15 patches cut from one gastric biopsy slide · 300 × 300 pixels each · ×20.
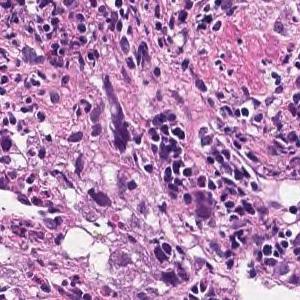
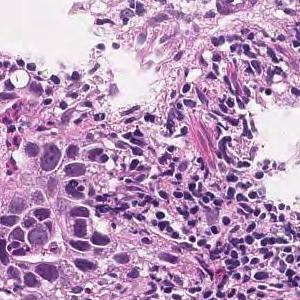
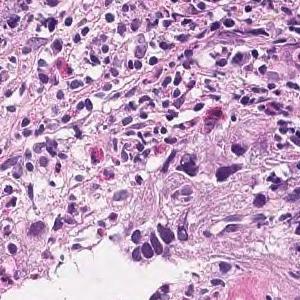
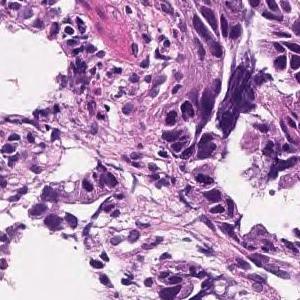
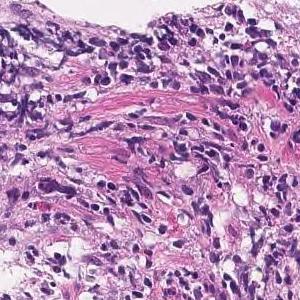
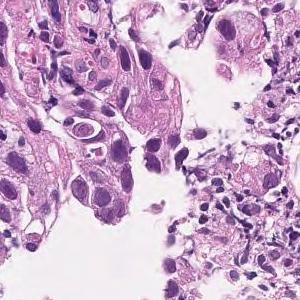
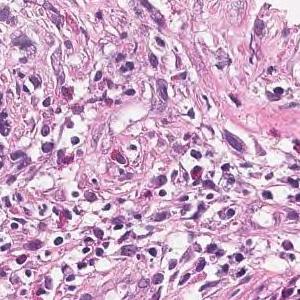
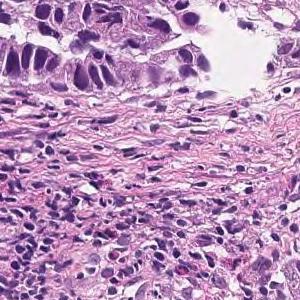
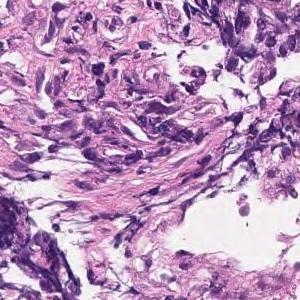
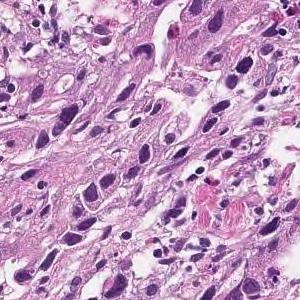
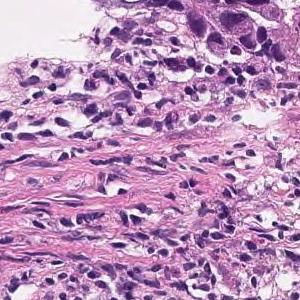
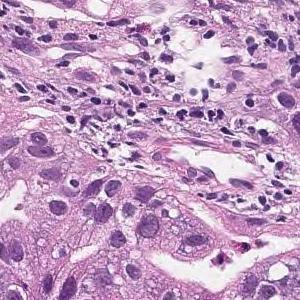
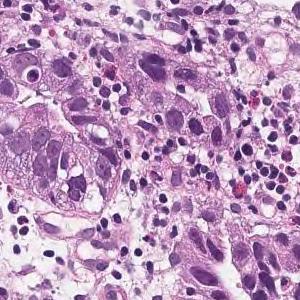
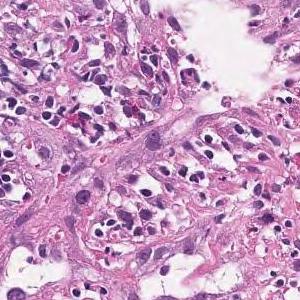
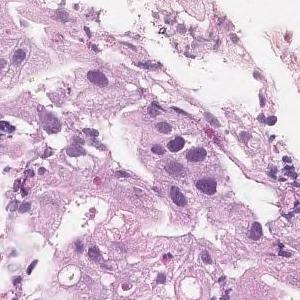
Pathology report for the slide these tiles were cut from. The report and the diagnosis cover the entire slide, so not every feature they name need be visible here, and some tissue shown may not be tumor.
In the superficial epithelium, tumor tissue that invades by forming medium-sized to small, irregular ducts is observed. moderately differentiated tubular adenocarcinoma.
